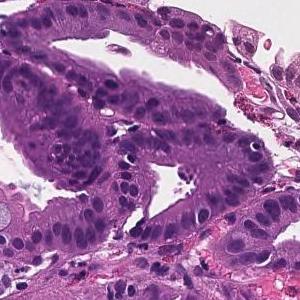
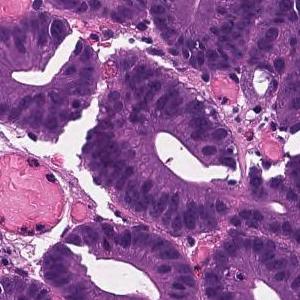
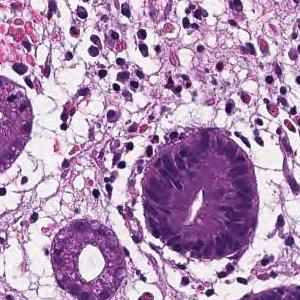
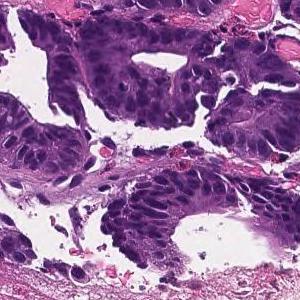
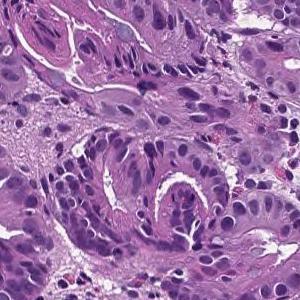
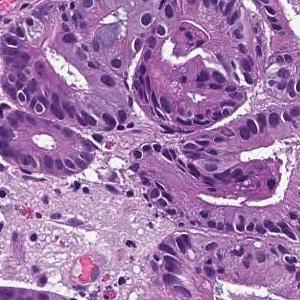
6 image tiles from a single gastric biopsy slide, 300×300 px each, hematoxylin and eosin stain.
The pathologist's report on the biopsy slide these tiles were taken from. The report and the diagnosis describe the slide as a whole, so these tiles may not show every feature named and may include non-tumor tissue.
From the superficial epithelium to the muscularis mucosae, tumor tissue consisting of medium-sized and irregular glandular ducts infiltrating is observed. Well differentiated tubular adenocarcinoma
